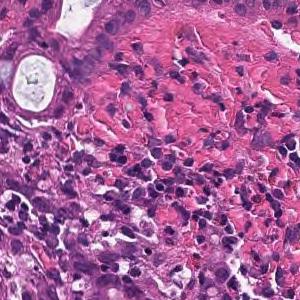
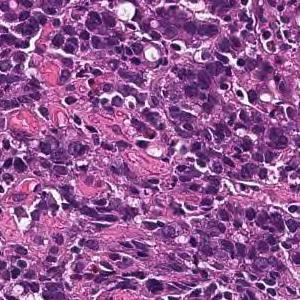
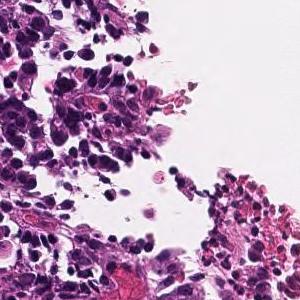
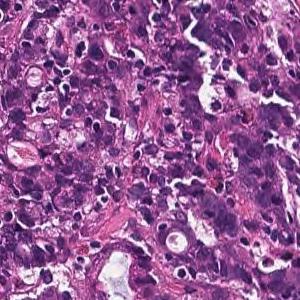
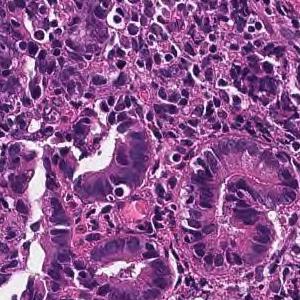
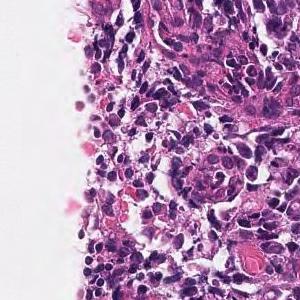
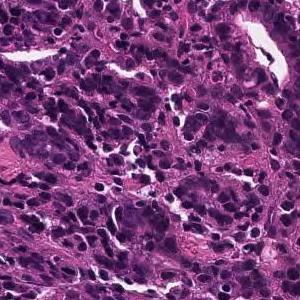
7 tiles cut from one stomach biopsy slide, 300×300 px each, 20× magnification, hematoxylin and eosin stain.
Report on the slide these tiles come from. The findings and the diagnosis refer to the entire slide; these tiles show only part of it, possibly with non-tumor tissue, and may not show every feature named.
In the superficial epithelium, tumor tissue that invades by forming medium-sized to small, irregular ducts is observed. moderately differentiated tubular adenocarcinoma.
